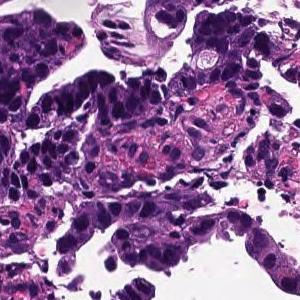
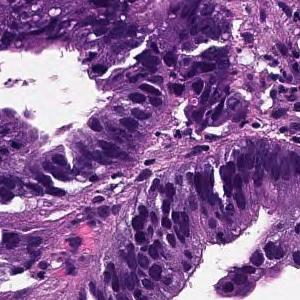
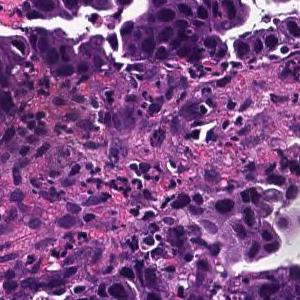
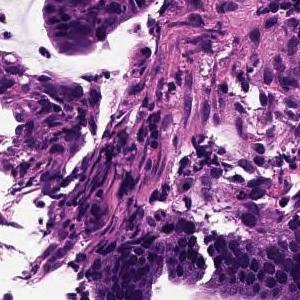
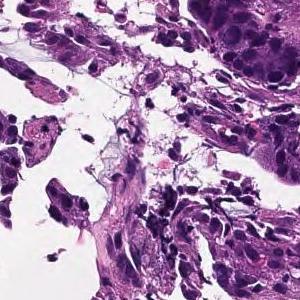
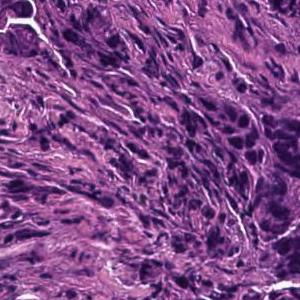
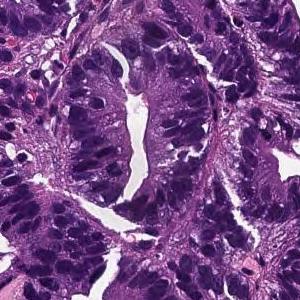
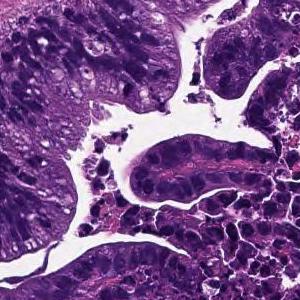
H&E stain, scanned at ×20, 8 tiles from the same stomach biopsy slide.
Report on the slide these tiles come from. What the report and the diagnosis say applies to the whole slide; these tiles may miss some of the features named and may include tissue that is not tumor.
Tumor cells are large, highly columnar, large club-shaped nuclei, and are associated with chromatin aggregation. Papillary adenocarcinoma.
